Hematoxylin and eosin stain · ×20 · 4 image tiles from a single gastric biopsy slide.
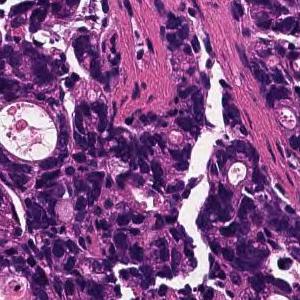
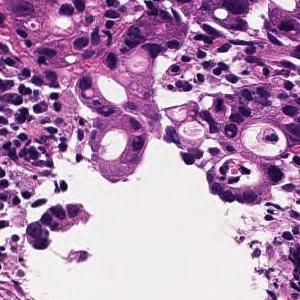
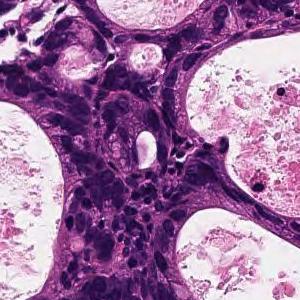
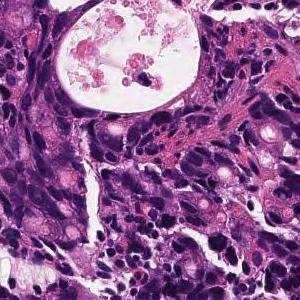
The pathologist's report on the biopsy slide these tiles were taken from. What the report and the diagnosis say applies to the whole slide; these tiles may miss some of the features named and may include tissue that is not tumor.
In the superficial epithelium, tumor tissue that invades by forming medium-sized to small, irregular ducts is observed. moderately differentiated tubular adenocarcinoma.
